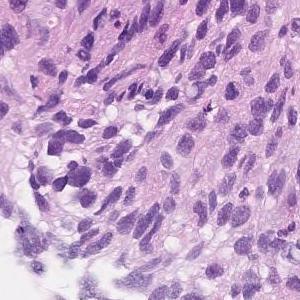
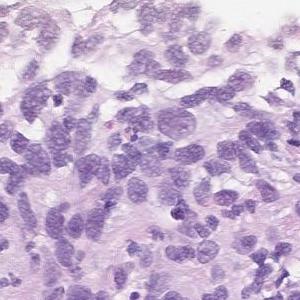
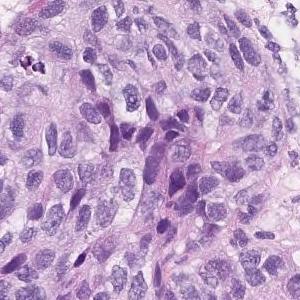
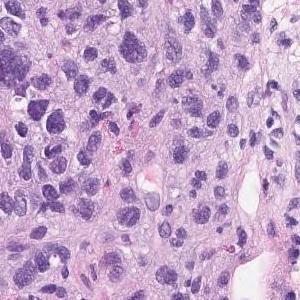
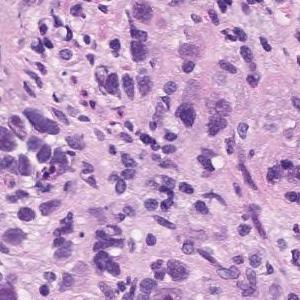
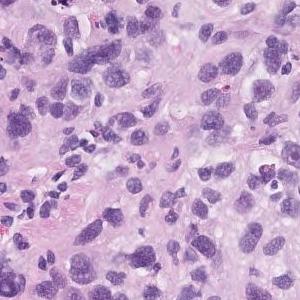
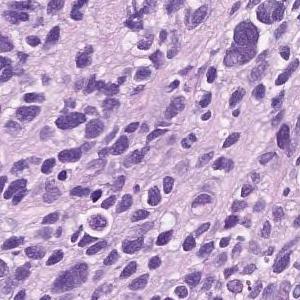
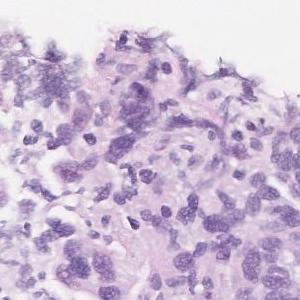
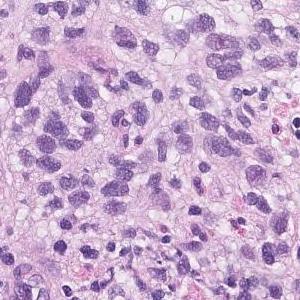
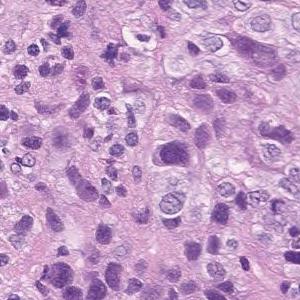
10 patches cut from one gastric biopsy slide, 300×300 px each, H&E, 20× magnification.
Report on the slide these tiles come from. The findings and the diagnosis refer to the entire slide; these tiles show only part of it, possibly with non-tumor tissue, and may not show every feature named.
Atypical l cells with atypical nuclei under the mucosa growing in isolation and scattered. Poorly differentiated adenocarcinoma (poorly differentiated adenocarcinoma, non-solid type)
Classified as poorly differentiated adenocarcinoma, non-solid type.
The non-solid type named here is a Japanese Classification of Gastric Carcinoma category.
